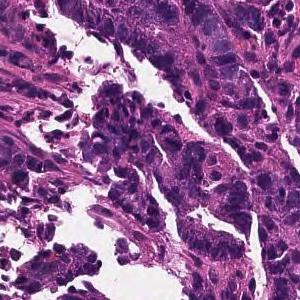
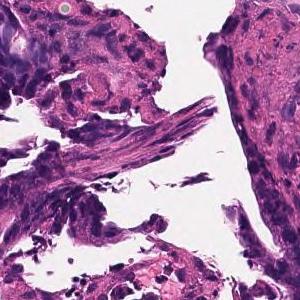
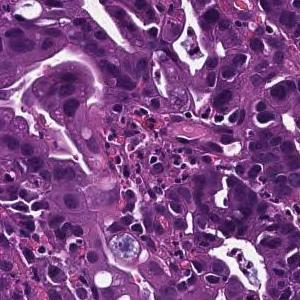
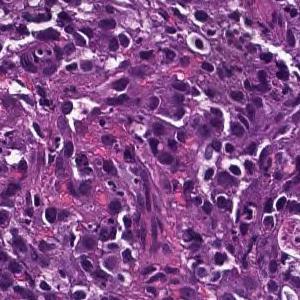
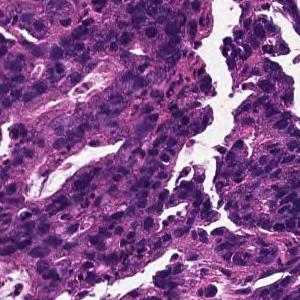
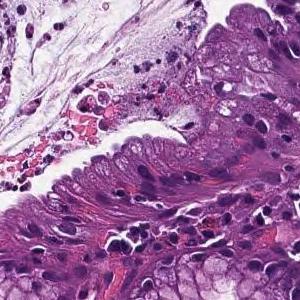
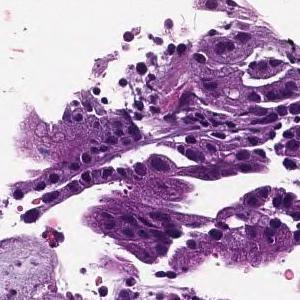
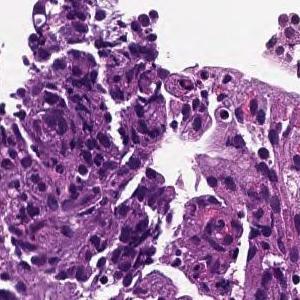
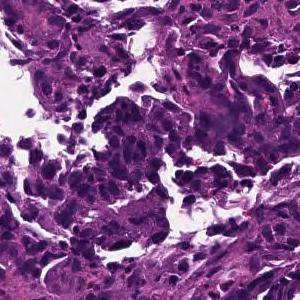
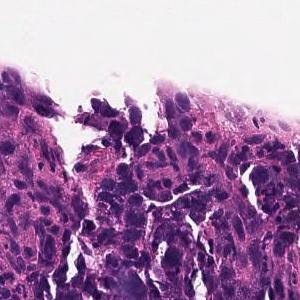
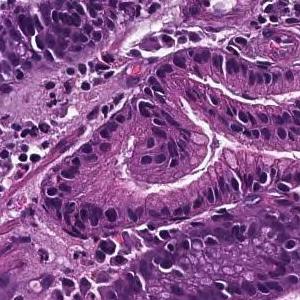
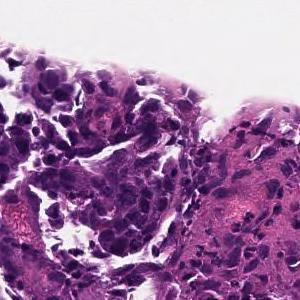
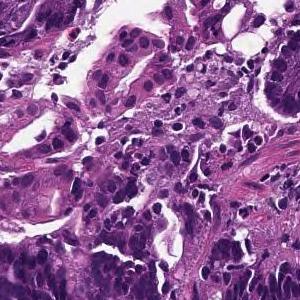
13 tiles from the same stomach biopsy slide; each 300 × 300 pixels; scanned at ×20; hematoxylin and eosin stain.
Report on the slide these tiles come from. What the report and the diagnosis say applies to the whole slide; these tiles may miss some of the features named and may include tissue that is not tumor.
On the superficial epithelium, tumor tissue consisting of large irregular glandular ducts partially fused and infiltrated is observed. Well to moderately differentiated tubular adenocarcinoma (well differentiated tubular adenocarcinoma, moderately differentiated tubular adenocarcinoma)
Histological subtype: Well to moderately differentiated tubular adenocarcinoma.
